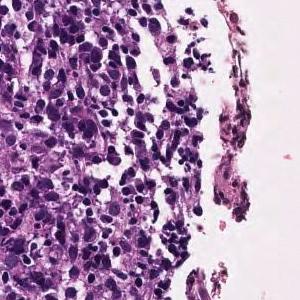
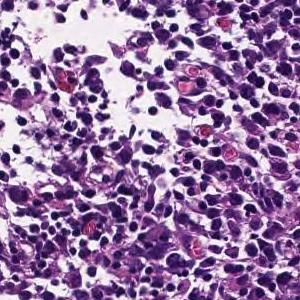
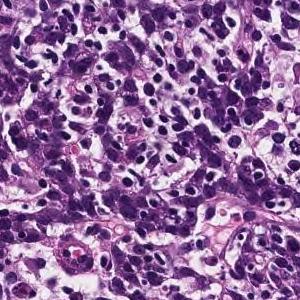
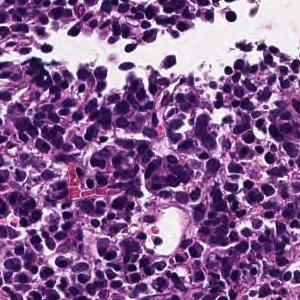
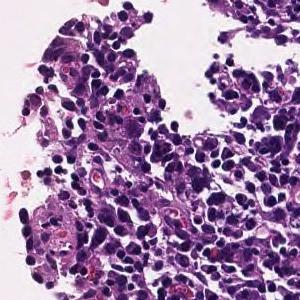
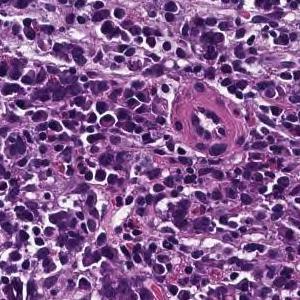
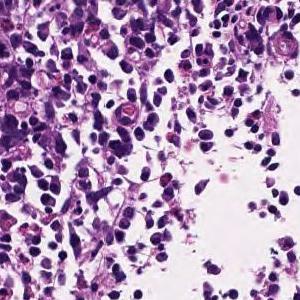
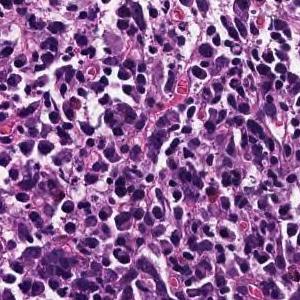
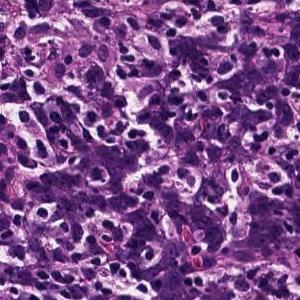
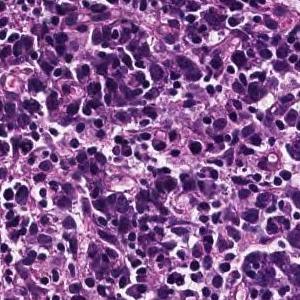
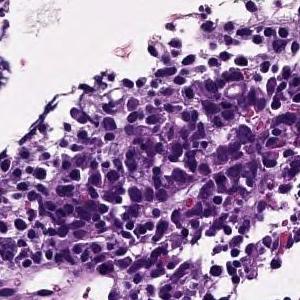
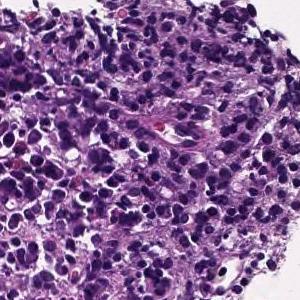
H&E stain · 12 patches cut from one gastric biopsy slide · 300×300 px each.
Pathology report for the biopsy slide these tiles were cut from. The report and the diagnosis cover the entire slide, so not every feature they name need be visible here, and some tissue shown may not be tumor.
Tumor tissue consisting of cord-like or small, irregular glandular ducts fused and infiltrated is observed in the superficial epithelium. Poorly differentiated adenocarcinoma, non-solid type
"Non-solid type" is a category of the Japanese Classification of Gastric Carcinoma.
